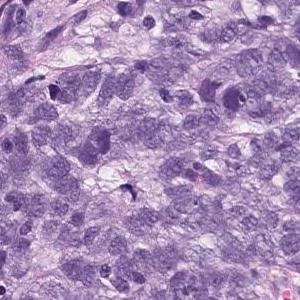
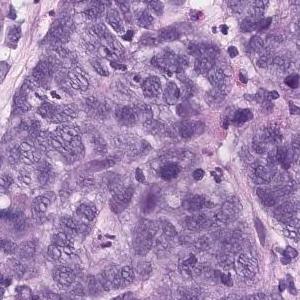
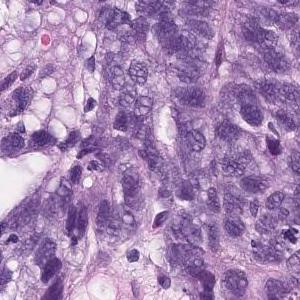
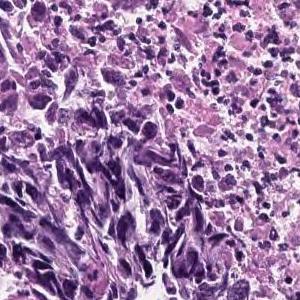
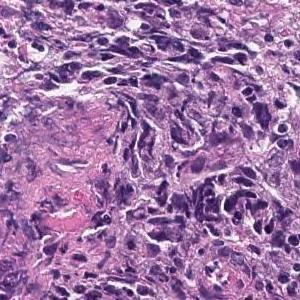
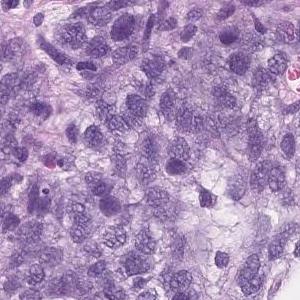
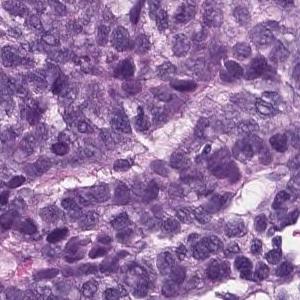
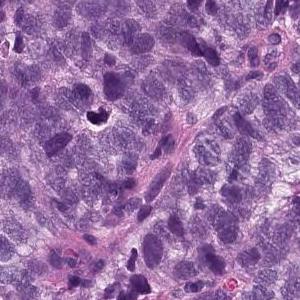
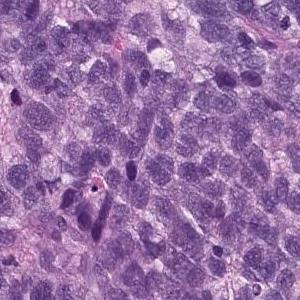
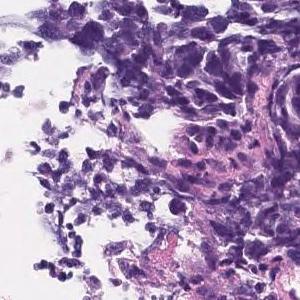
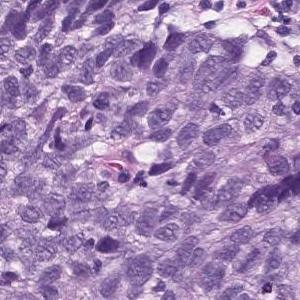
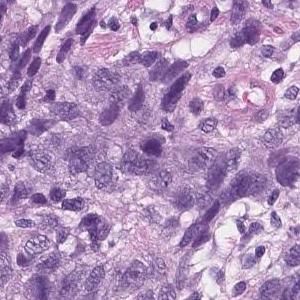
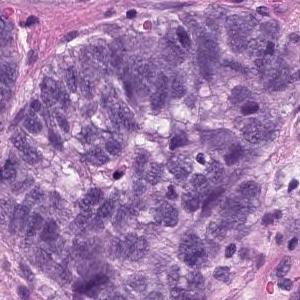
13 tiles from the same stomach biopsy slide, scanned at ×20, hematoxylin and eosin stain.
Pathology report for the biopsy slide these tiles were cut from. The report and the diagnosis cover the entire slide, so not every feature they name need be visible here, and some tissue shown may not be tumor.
Epithelial cells with swollen nuclei with atypia invasively proliferating while forming vesicles is observed. Poorly differentiated adenocarcinoma
Subtype: Poorly differentiated adenocarcinoma, solid type (Japanese Classification of Gastric Carcinoma). The WHO 2019 equivalent is tubular adenocarcinoma, poorly differentiated.
